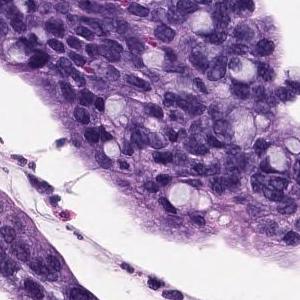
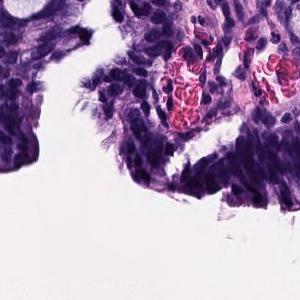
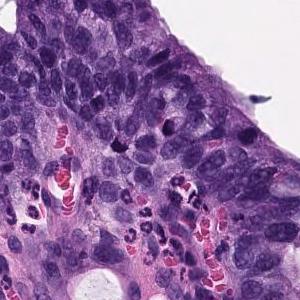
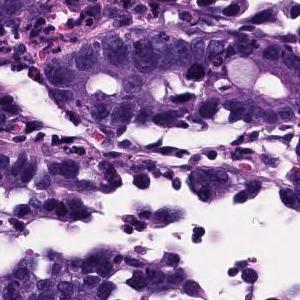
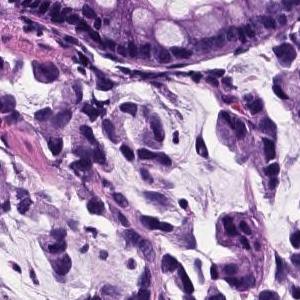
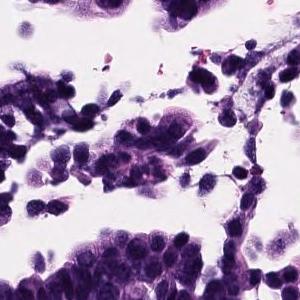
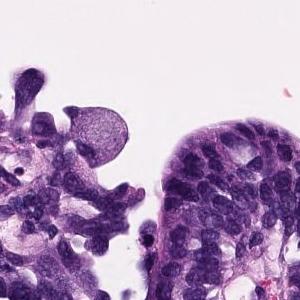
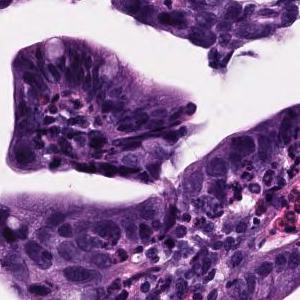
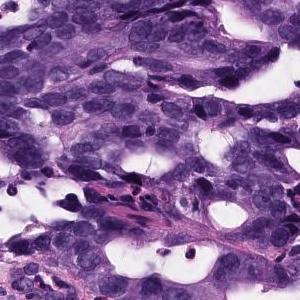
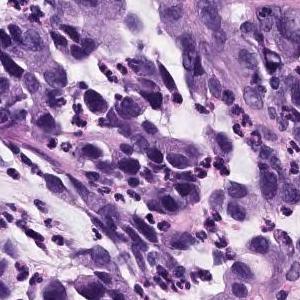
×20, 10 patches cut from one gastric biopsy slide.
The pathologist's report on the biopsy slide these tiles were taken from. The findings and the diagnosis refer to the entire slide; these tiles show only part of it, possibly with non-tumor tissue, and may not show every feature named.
Atypical epithelium proliferating showing villus construction and irregular gland duct construction is observed. Moderately differentiated tubular adenocarcinoma.
